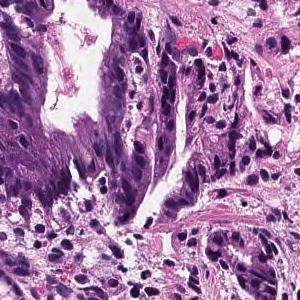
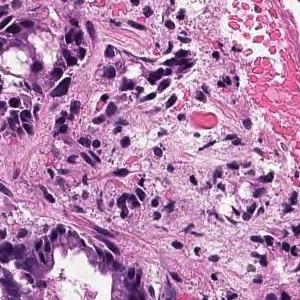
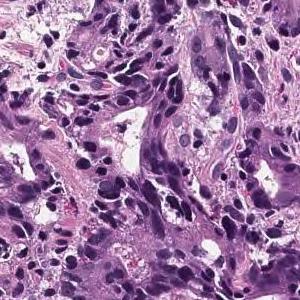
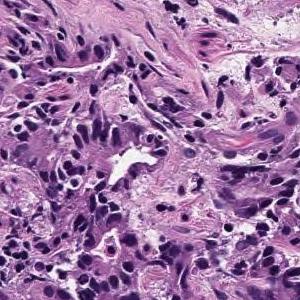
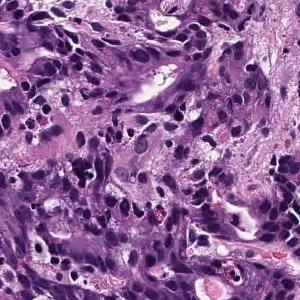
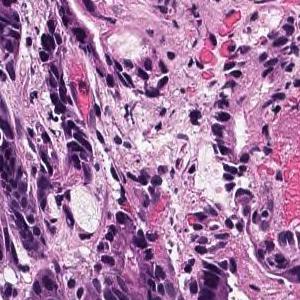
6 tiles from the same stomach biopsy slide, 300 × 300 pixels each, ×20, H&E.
Report on the slide these tiles come from. The report and the diagnosis describe the slide as a whole, so these tiles may not show every feature named and may include non-tumor tissue.
On the superficial epithelium, tumor tissue is found in which medium-sized irregular gland ducts fuse with each other and infiltrate. moderately differentiated tubular adenocarcinoma
